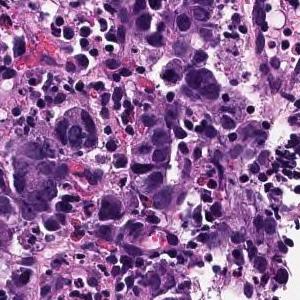
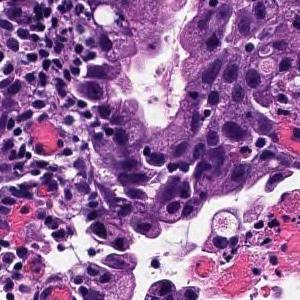
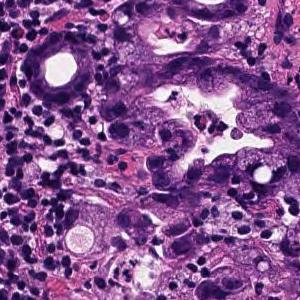
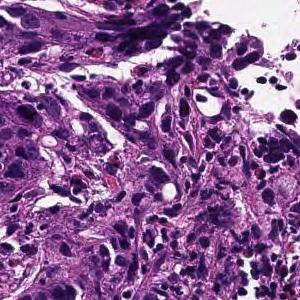
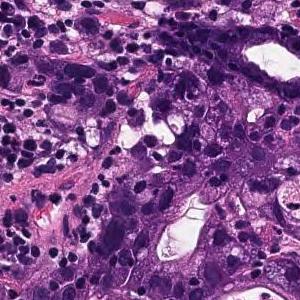
5 tiles cut from one stomach biopsy slide, 300 × 300 pixels each, scanned at ×20, hematoxylin and eosin stain.
Pathology report for the biopsy slide these tiles were cut from. The report and the diagnosis cover the entire slide, so not every feature they name need be visible here, and some tissue shown may not be tumor.
Tumor tissue consisting of medium-sized, cord-like or irregular glandular infiltration is observed in the superficial epithelium. Poorly differentiated adenocarcinoma, non-solid type or moderately differentiated tubular adenocarcinoma
Histological subtype: Moderately to poorly differentiated adenocarcinoma.
"Non-solid type" is a category of the Japanese Classification of Gastric Carcinoma.
